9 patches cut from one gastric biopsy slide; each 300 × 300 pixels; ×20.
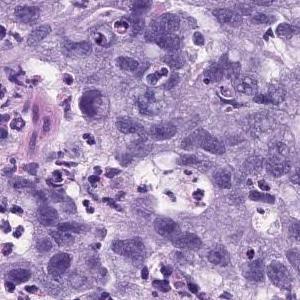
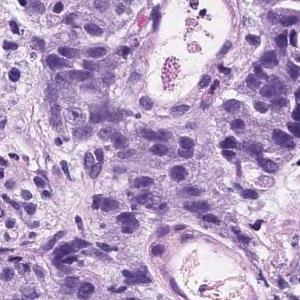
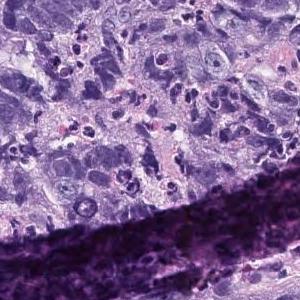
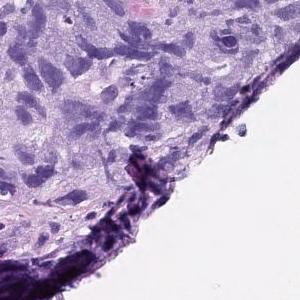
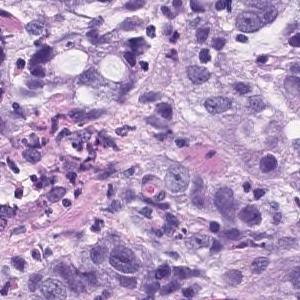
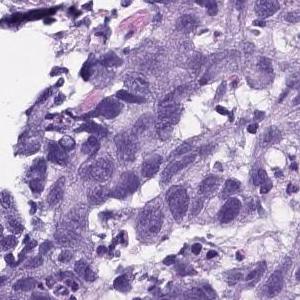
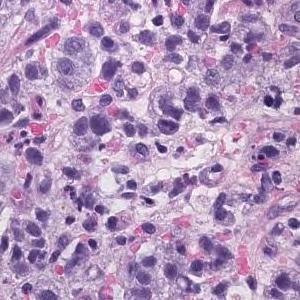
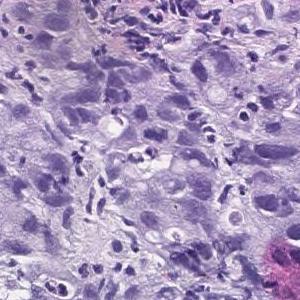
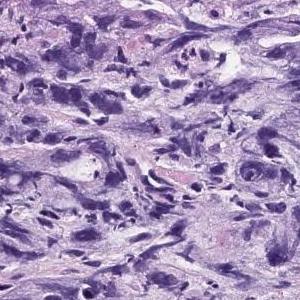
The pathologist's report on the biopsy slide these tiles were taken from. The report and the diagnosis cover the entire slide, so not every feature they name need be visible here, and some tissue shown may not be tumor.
Atypical l cells with atypical nuclei forming solid vesicles or small irregular atypical ducts that proliferate in a complex manner. poorly differentiated adenocarcinoma, solid type, moderately differentiated tubular adenocarcinoma
"Solid type" is a category of the Japanese Classification of Gastric Carcinoma; in the WHO 2019 classification it is tubular adenocarcinoma, poorly differentiated.
